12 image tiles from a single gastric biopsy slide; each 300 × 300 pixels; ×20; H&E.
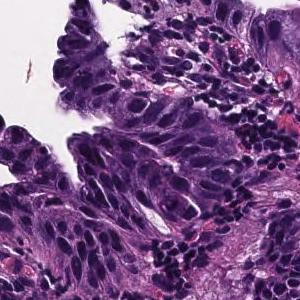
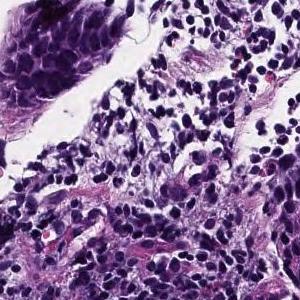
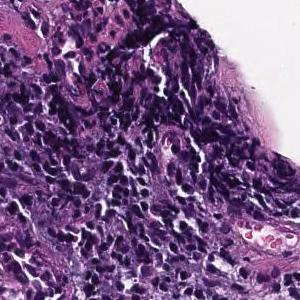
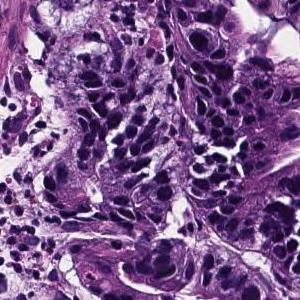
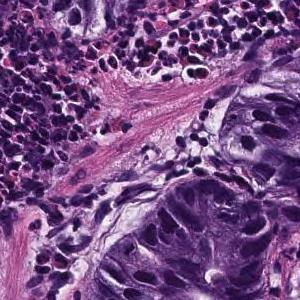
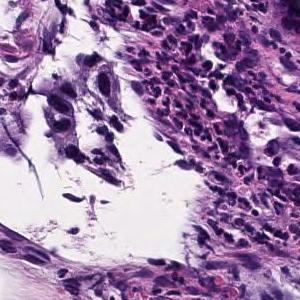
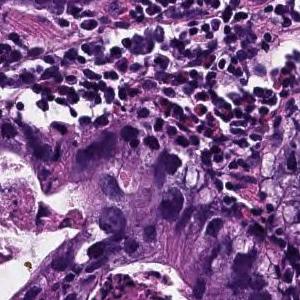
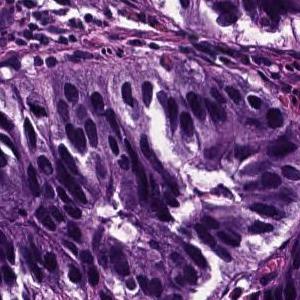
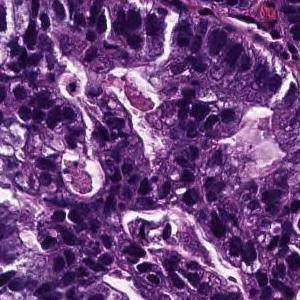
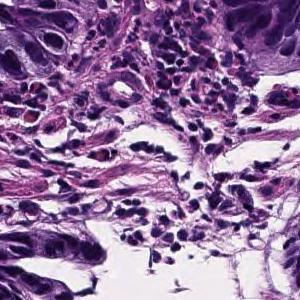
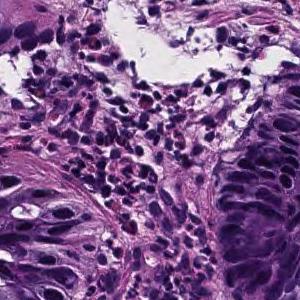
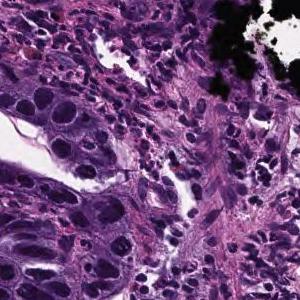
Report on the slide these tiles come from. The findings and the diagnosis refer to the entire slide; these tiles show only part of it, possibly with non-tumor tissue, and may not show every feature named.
In the superficial epithelium, tumor tissue that invades by forming medium-sized to small, irregular ducts is observed. Moderately differentiated adenocarcinoma.
Classified as moderately differentiated tubular adenocarcinoma.
